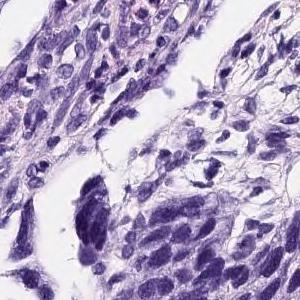
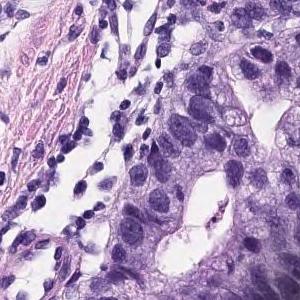
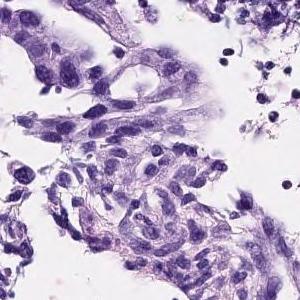
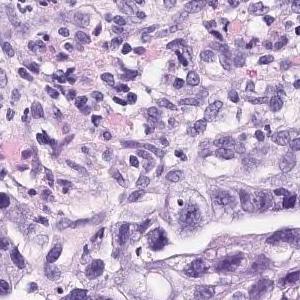
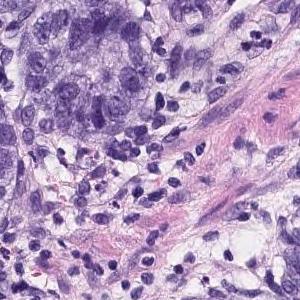
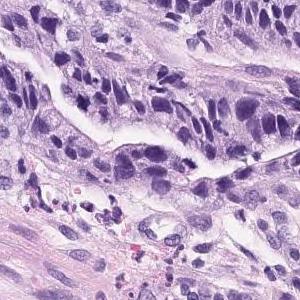
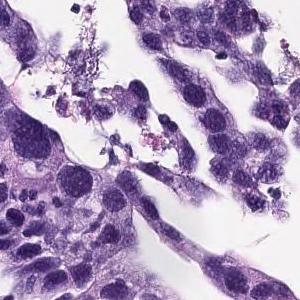
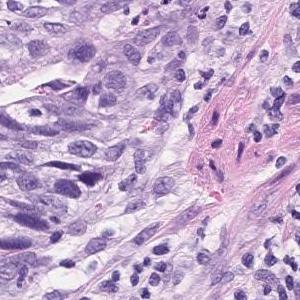
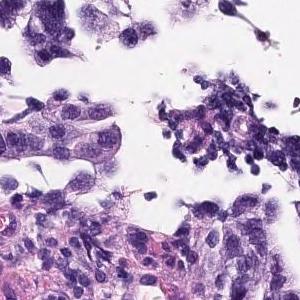
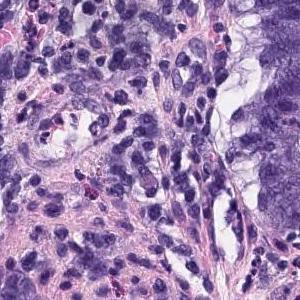
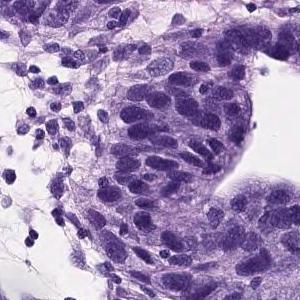
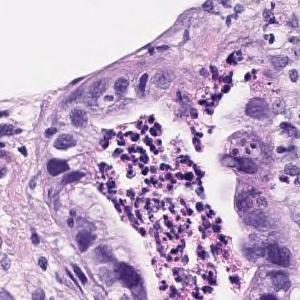
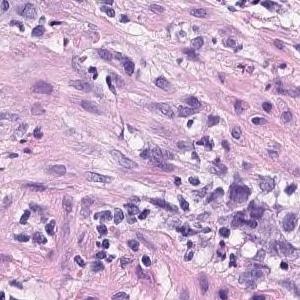
13 tiles cut from one stomach biopsy slide · each 300 × 300 pixels · ×20 · hematoxylin and eosin stain.
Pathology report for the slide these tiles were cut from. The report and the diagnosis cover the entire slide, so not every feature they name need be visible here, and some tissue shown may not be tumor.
On the superficial epithelium, tumor tissue consisting of medium to small irregular tubules partially fused and proliferated is observed. moderately differentiated tubular adenocarcinoma
